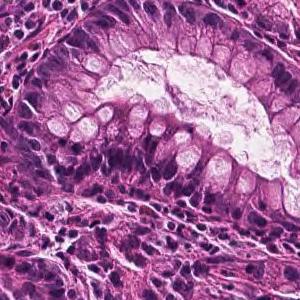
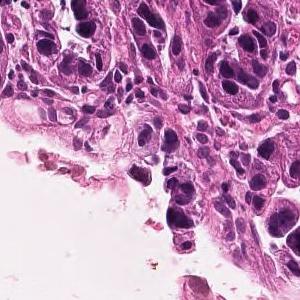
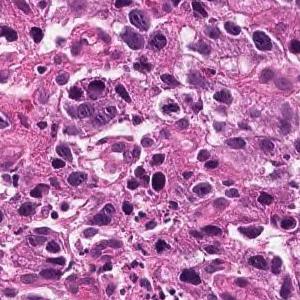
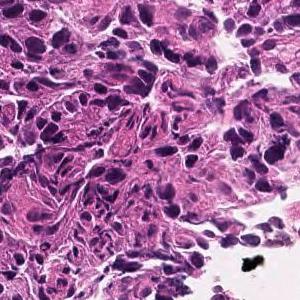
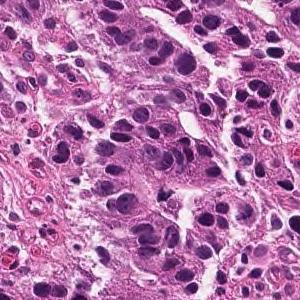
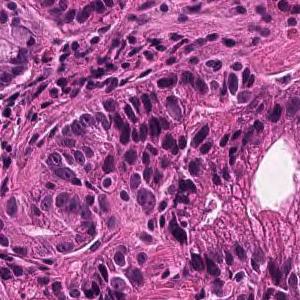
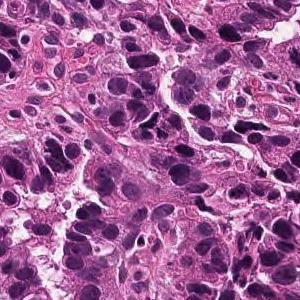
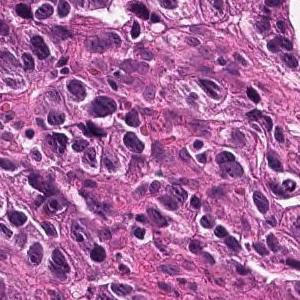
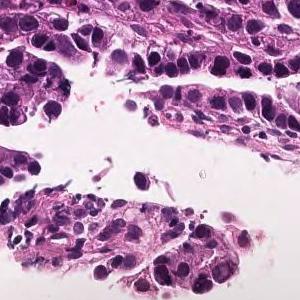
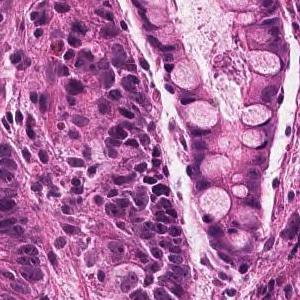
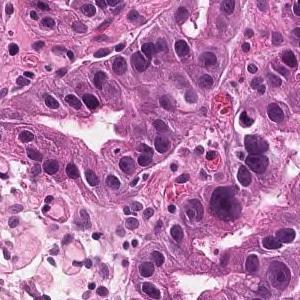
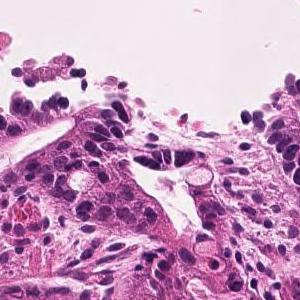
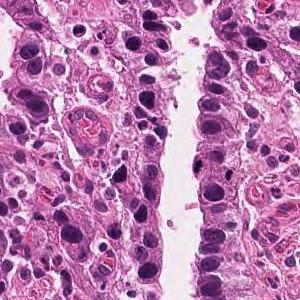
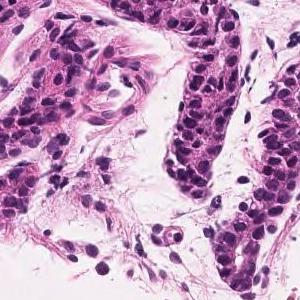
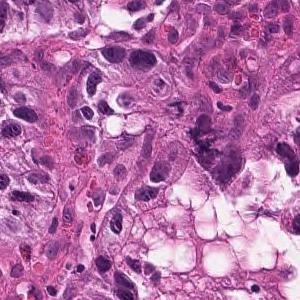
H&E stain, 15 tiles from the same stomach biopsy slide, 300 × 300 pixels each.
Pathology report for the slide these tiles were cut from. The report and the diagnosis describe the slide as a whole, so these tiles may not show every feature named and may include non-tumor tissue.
Tumor tissue consisting of medium-sized, cord-like or irregular glandular infiltration is observed in the superficial epithelium. Poorly differentiated adenocarcinoma, non-solid type or moderately differentiated tubular adenocarcinoma
Histological subtype: Moderately to poorly differentiated adenocarcinoma.
"Non-solid type" is a category of the Japanese Classification of Gastric Carcinoma.
